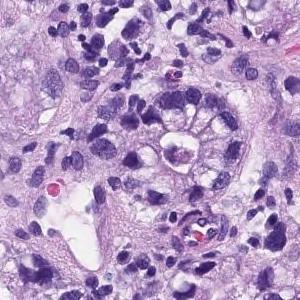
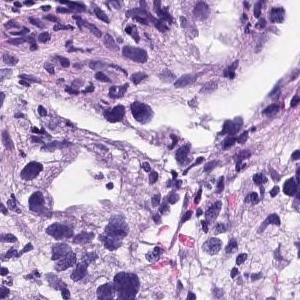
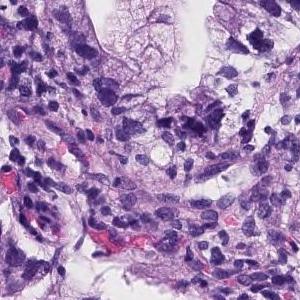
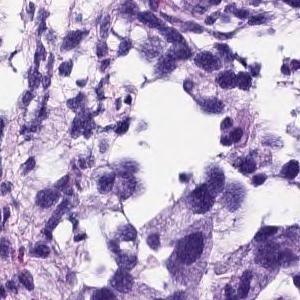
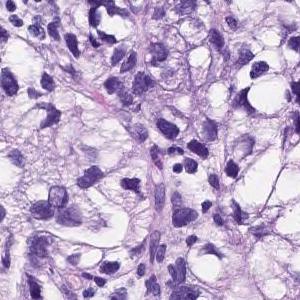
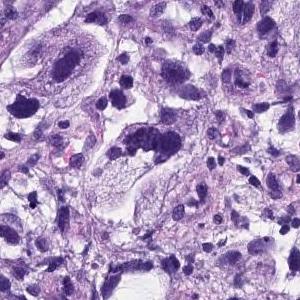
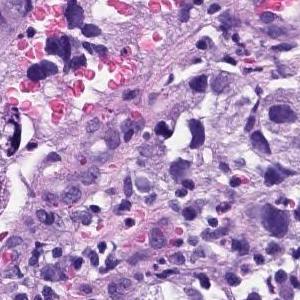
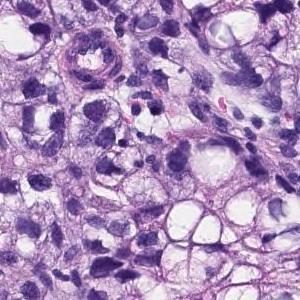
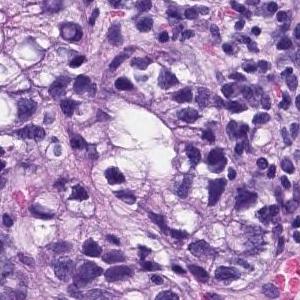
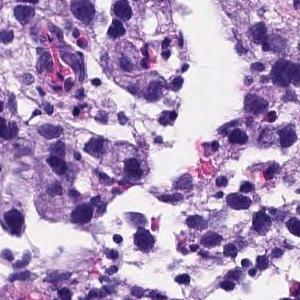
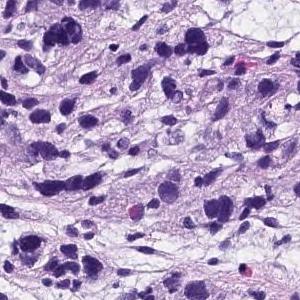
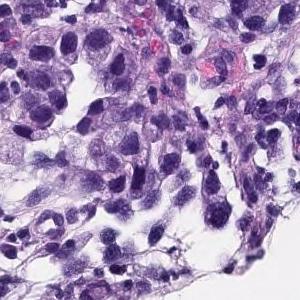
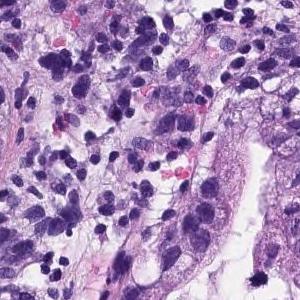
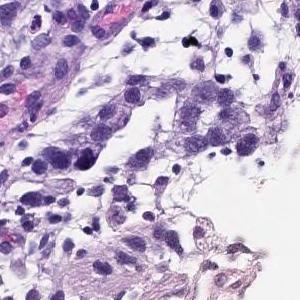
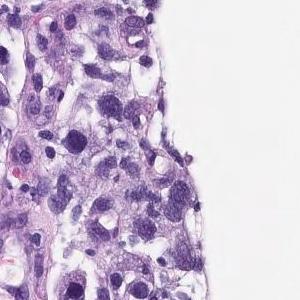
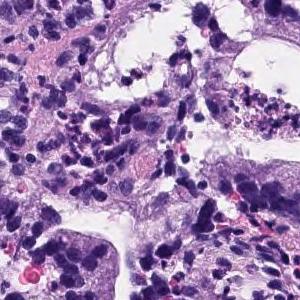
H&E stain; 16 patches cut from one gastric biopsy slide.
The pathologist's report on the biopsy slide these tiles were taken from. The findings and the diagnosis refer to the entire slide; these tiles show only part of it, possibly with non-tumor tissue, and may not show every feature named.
Medium to small, irregular glandular ducts are formed in the superficial epithelium, and in some cases, the glandular ducts are fused to show solid alveolar lesions and infiltrating tumor tissue is observed. Poorly differentiated adenocarcinoma, Moderately differentiated adenocarcinoma.
Dataset label: moderately differentiated tubular adenocarcinoma.
